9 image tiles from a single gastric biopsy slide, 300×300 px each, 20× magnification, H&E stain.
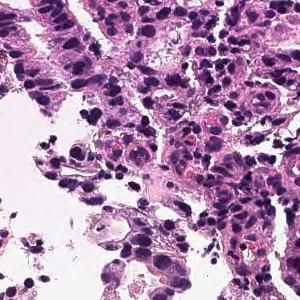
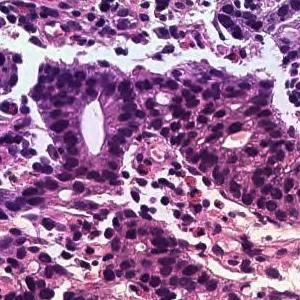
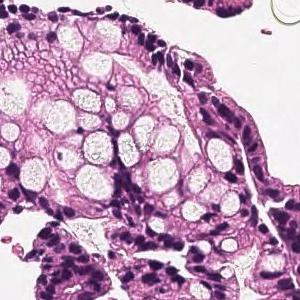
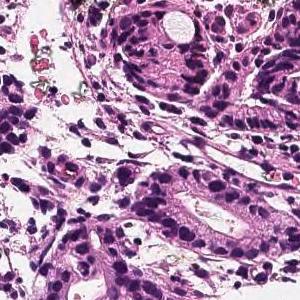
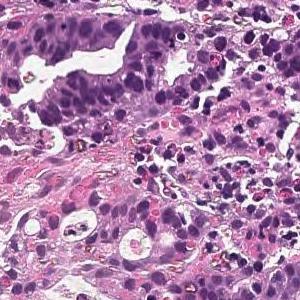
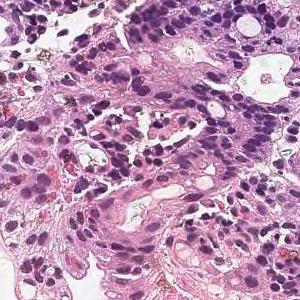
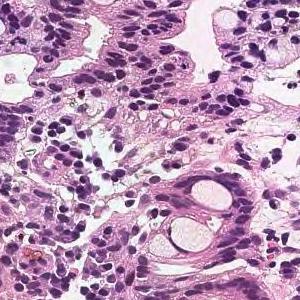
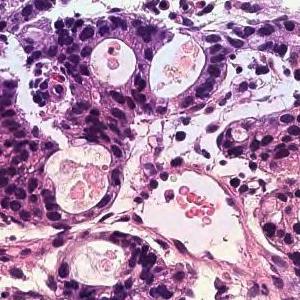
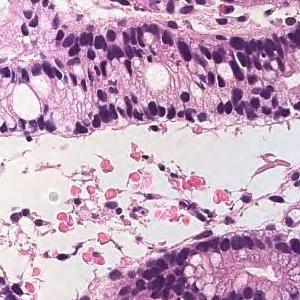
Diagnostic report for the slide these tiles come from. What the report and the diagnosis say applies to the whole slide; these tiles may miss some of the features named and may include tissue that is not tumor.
In the superficial epithelium, tumor tissue that invades by forming medium-sized to small, irregular ducts is observed. moderately differentiated tubular adenocarcinoma.
